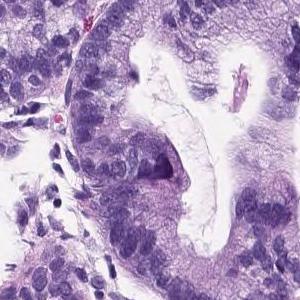
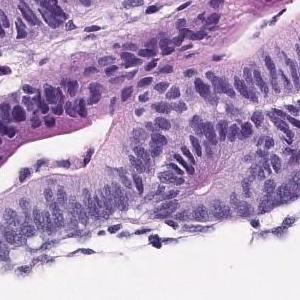
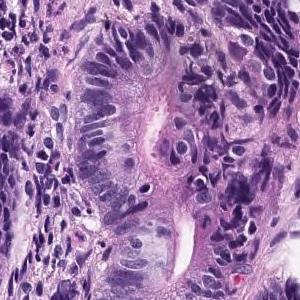
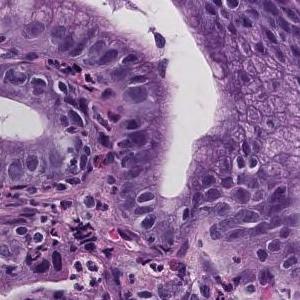
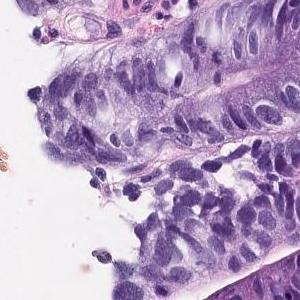
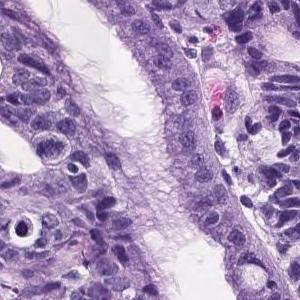
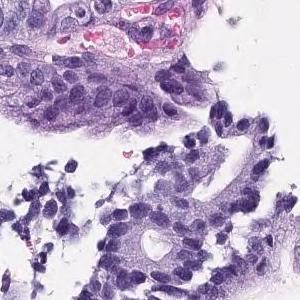
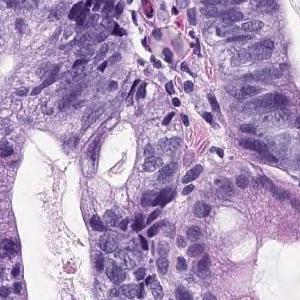
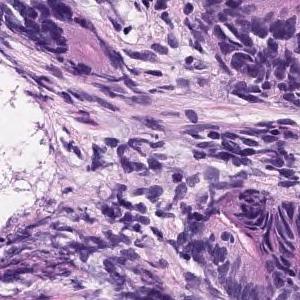
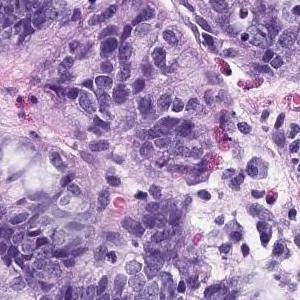
10 image tiles from a single gastric biopsy slide · 300 × 300 pixels each · hematoxylin and eosin stain · scanned at ×20.
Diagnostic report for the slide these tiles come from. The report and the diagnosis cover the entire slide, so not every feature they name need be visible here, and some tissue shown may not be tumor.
On the superficial epithelium, tumor tissue consisting of medium-sized to large-sized, round or irregular glandular duct growth images is observed. Well differentiated adenocarcinoma.
Tumor subtype: well differentiated tubular adenocarcinoma.
